14 image tiles from a single gastric biopsy slide; H&E; 20× magnification.
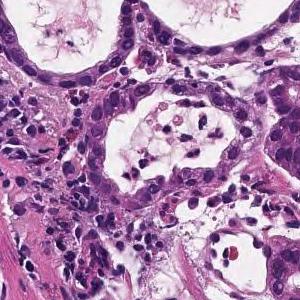
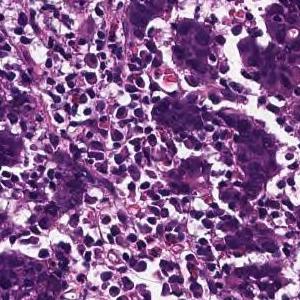
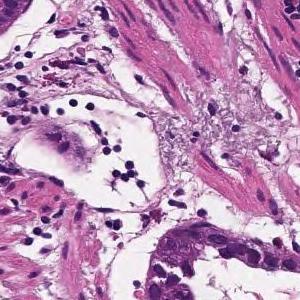
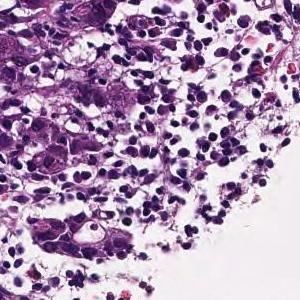
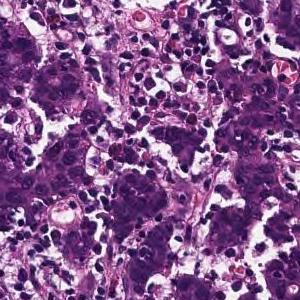
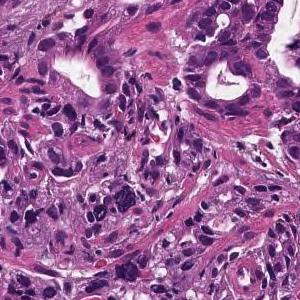
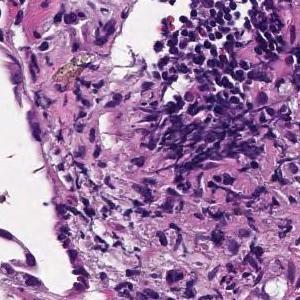
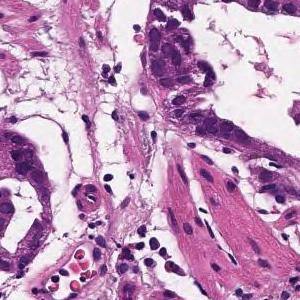
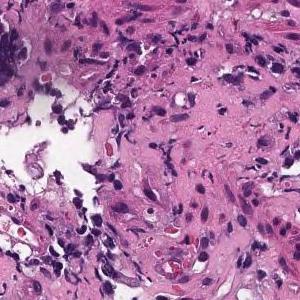
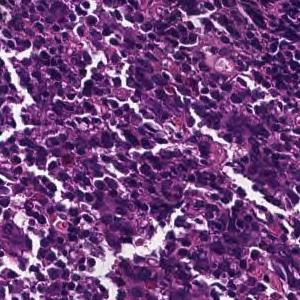
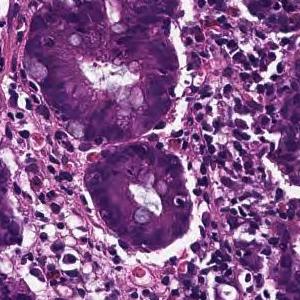
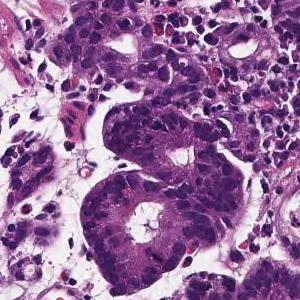
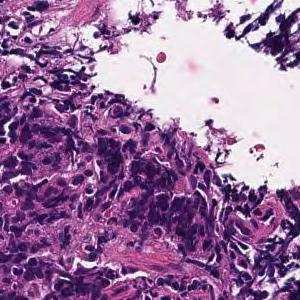
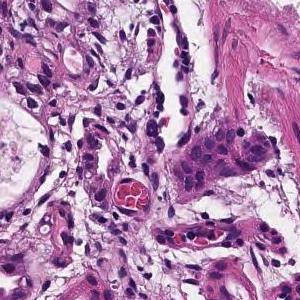
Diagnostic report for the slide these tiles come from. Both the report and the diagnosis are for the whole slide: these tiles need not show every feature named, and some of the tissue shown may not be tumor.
Tumor tissue consisting of medium-sized, cord-like or irregular glandular infiltration is observed in the superficial epithelium. Poorly differentiated adenocarcinoma, non-solid type or moderately differentiated tubular adenocarcinoma
Histological subtype: Moderately to poorly differentiated adenocarcinoma.
The term "non-solid type" comes from the Japanese Classification of Gastric Carcinoma.
